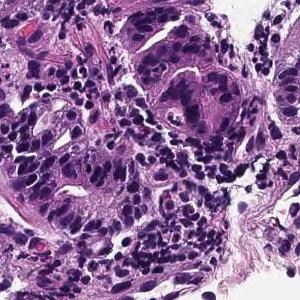
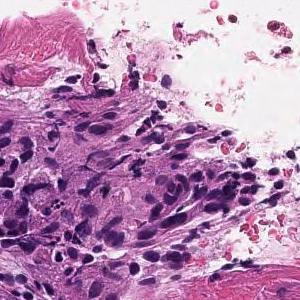
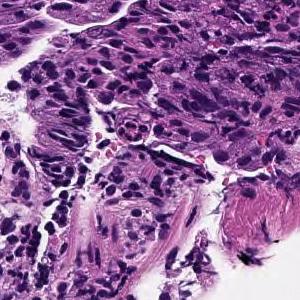
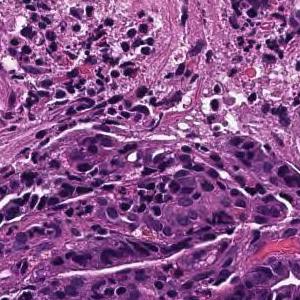
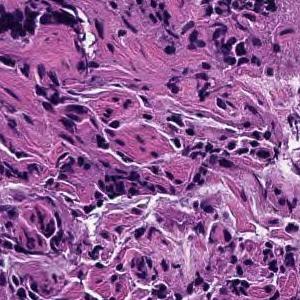
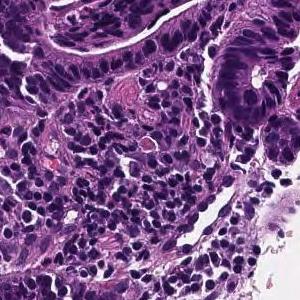
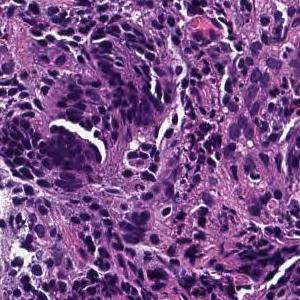
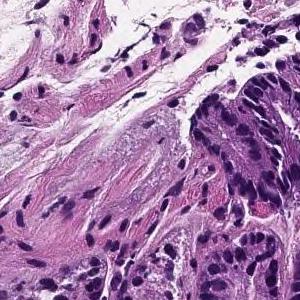
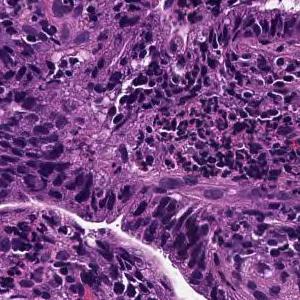
H&E; 20× magnification; 9 patches cut from one gastric biopsy slide; 300 × 300 pixels each.
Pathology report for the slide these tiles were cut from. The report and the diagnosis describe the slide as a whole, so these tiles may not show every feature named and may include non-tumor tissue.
From the superficial epithelium to the muscularis mucosae, tumor tissue consisting of medium-sized and irregular glandular ducts infiltrating is observed. Well differentiated tubular adenocarcinoma
